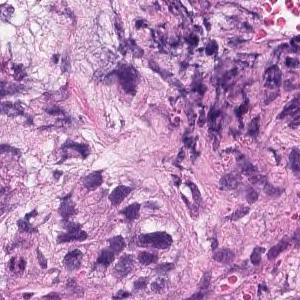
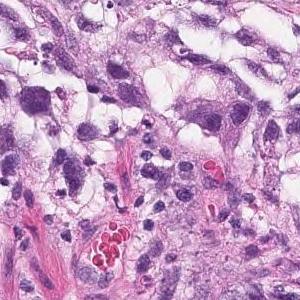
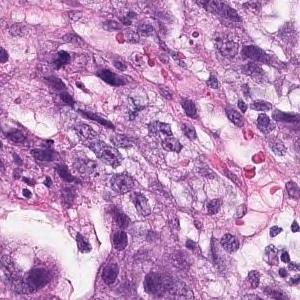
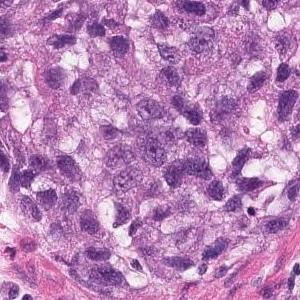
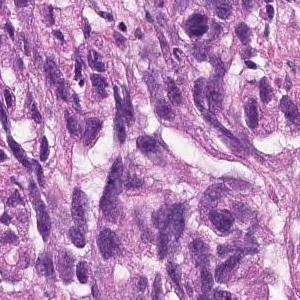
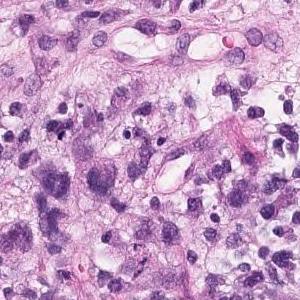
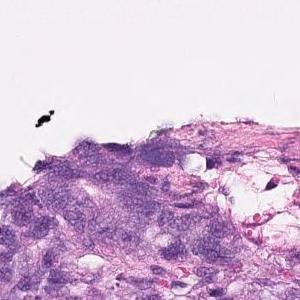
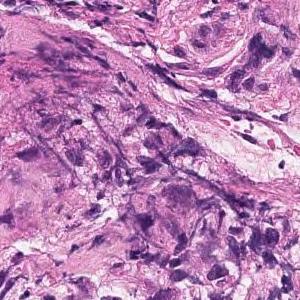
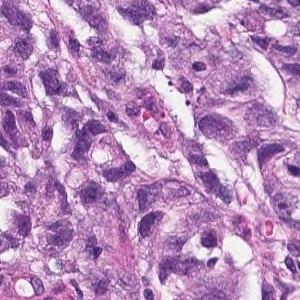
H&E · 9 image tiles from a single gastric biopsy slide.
Diagnostic report for the slide these tiles come from. Both the report and the diagnosis are for the whole slide: these tiles need not show every feature named, and some of the tissue shown may not be tumor.
The superficial epithelium shows a large sheet-like shape, and some tumor tissue infiltrates with small irregular ducts. Poorly differentiated adenocarcinoma, solid-type
Histological subtype: Poorly differentiated adenocarcinoma, solid type, a category of the Japanese Classification of Gastric Carcinoma; in the WHO 2019 classification it is tubular adenocarcinoma, poorly differentiated.
